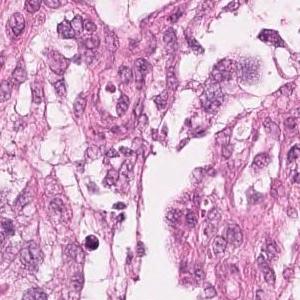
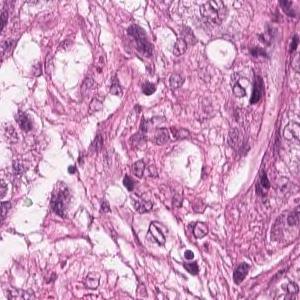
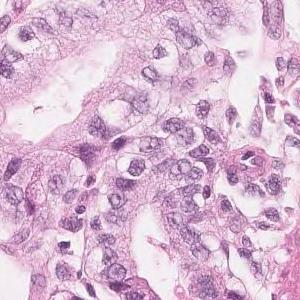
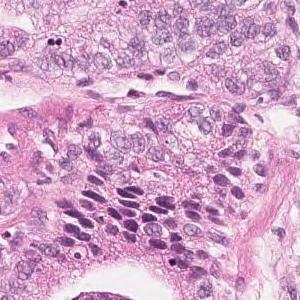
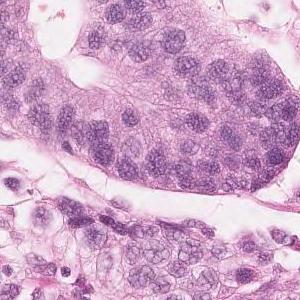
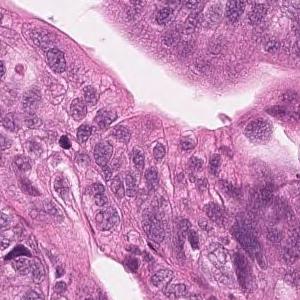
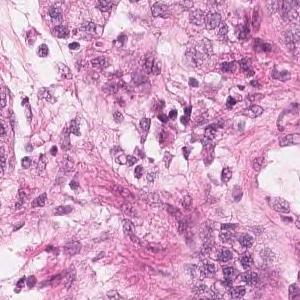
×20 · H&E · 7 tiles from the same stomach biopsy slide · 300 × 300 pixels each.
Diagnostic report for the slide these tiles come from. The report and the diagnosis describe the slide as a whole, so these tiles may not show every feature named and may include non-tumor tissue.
Highly columnar epithelium with disordered nuclear localization proliferates showing fusion ductal construction. moderately differentiated tubular adenocarcinoma
